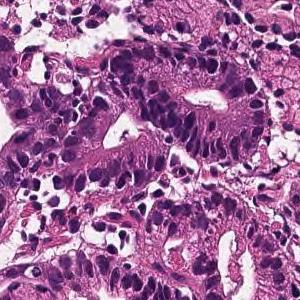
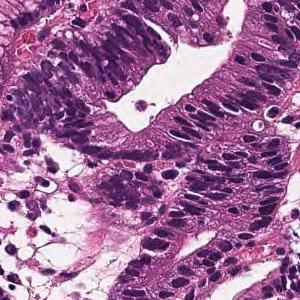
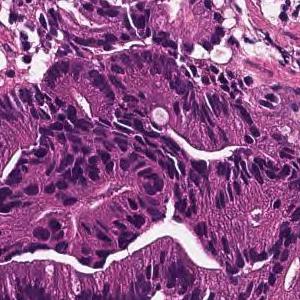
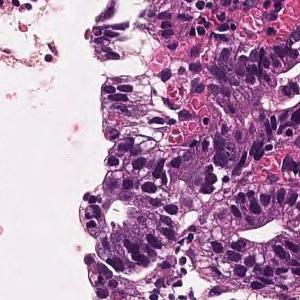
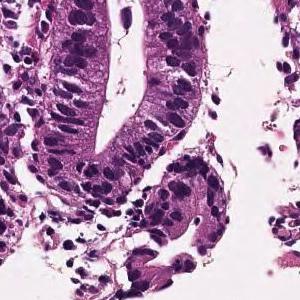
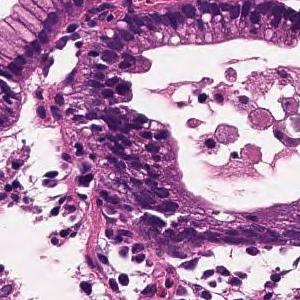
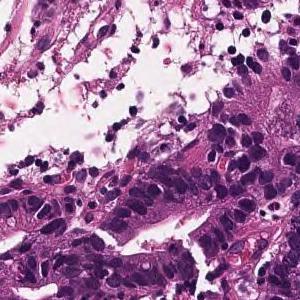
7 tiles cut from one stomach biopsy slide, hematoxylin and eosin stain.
Pathology report for the biopsy slide these tiles were cut from. The report describes the whole slide, diagnosis included: not every finding it names need appear in these tiles, which may also show non-tumor tissue.
From the superficial epithelium to the muscularis mucosae, tumor tissue consisting of medium-sized and irregular glandular ducts infiltrating is observed. Well differentiated tubular adenocarcinoma
